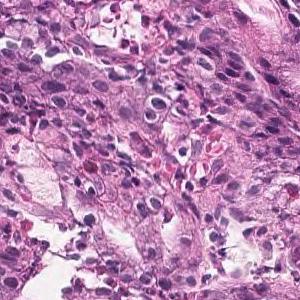
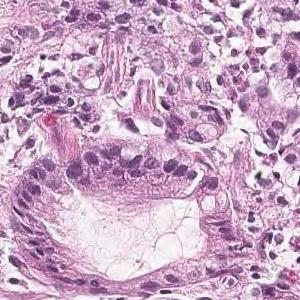
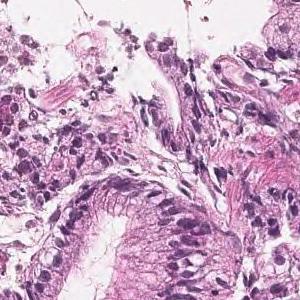
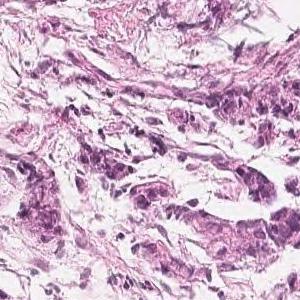
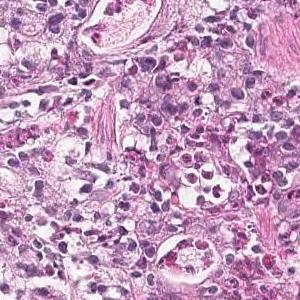
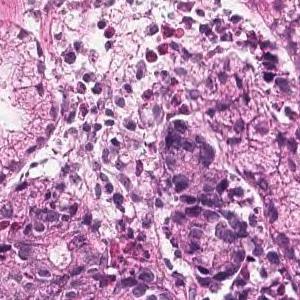
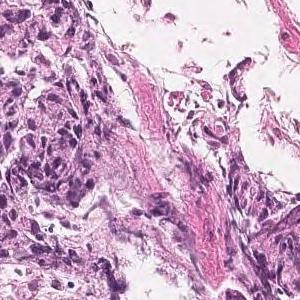
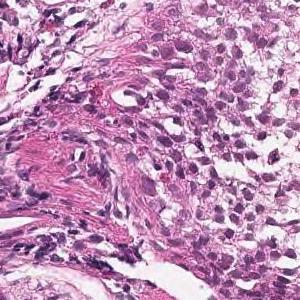
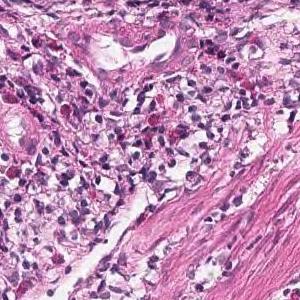
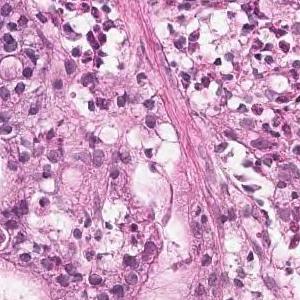
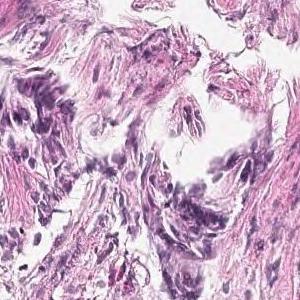
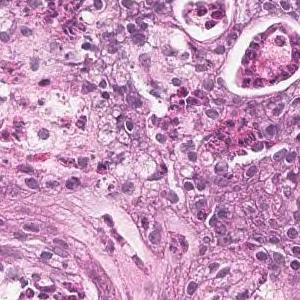
12 image tiles from a single gastric biopsy slide · 300 × 300 pixels each · ×20 · hematoxylin and eosin stain.
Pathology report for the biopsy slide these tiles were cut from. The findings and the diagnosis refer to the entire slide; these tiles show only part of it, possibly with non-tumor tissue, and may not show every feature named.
Tumor tissue consisting of medium-sized, cord-like or irregular glandular infiltration is observed in the superficial epithelium. Poorly differentiated adenocarcinoma, non-solid type or moderately differentiated tubular adenocarcinoma
The non-solid type named here is a Japanese Classification of Gastric Carcinoma category.
